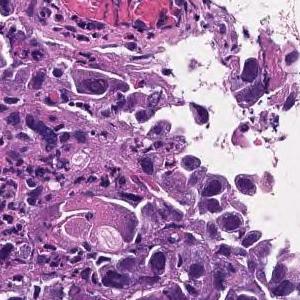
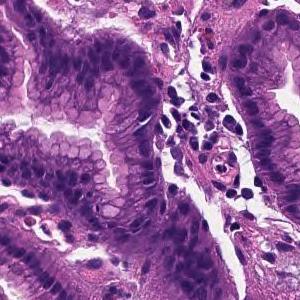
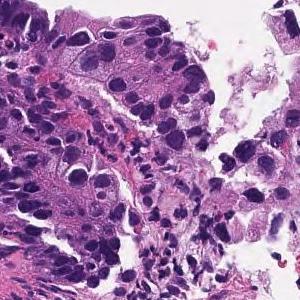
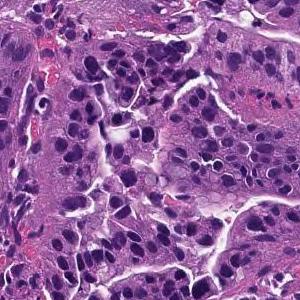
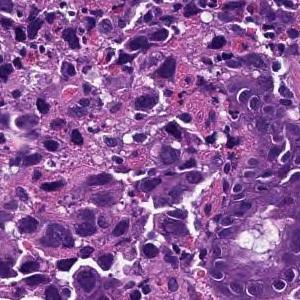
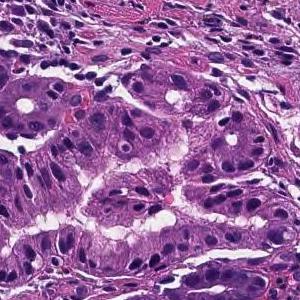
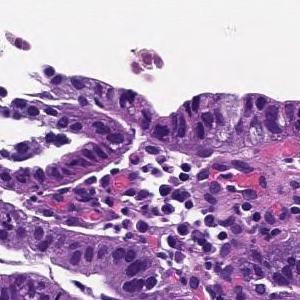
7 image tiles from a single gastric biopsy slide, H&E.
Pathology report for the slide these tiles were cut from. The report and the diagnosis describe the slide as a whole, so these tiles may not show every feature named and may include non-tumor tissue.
Tumor tissue consisting of medium-sized, cord-like or irregular glandular infiltration is observed in the superficial epithelium. Poorly differentiated adenocarcinoma, non-solid type or moderately differentiated tubular adenocarcinoma
Classified as moderately to poorly differentiated adenocarcinoma.
"Non-solid type" is a category of the Japanese Classification of Gastric Carcinoma.
